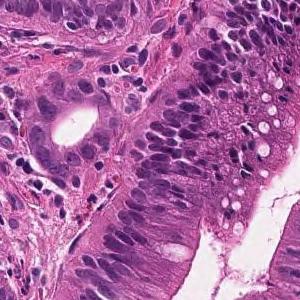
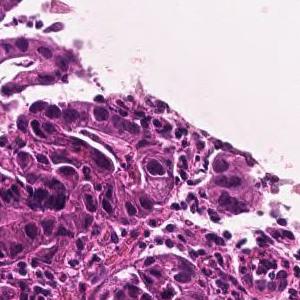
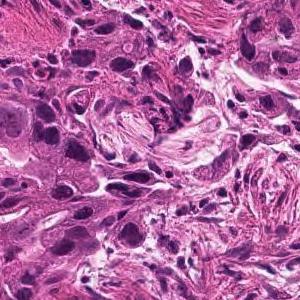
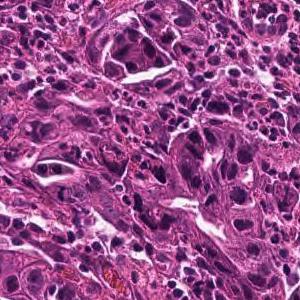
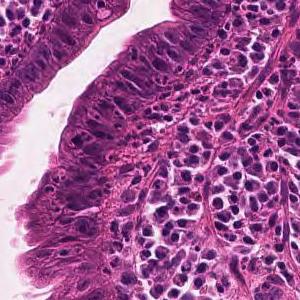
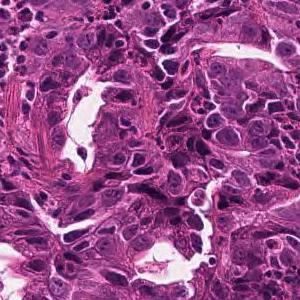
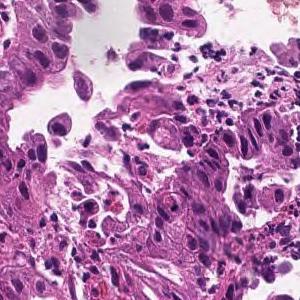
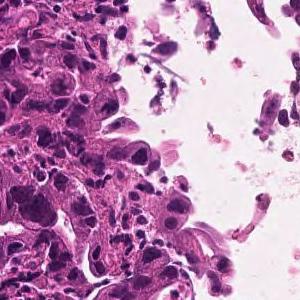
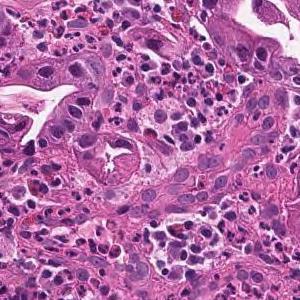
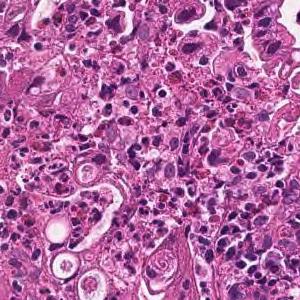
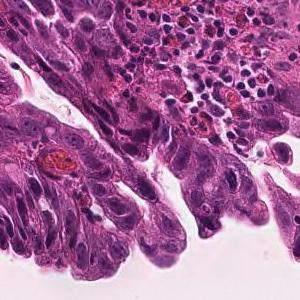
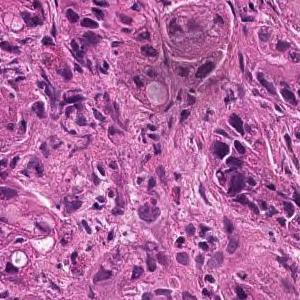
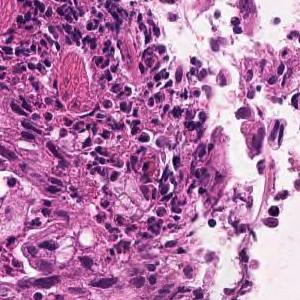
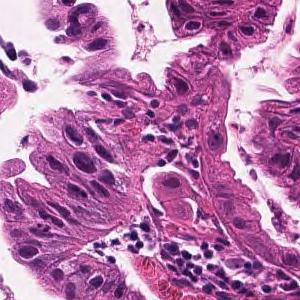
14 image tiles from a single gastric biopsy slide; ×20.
The pathologist's report on the biopsy slide these tiles were taken from. The report and the diagnosis describe the slide as a whole, so these tiles may not show every feature named and may include non-tumor tissue.
Medium to small, irregular glandular ducts are formed in the superficial epithelium, and in some cases, the glandular ducts are fused to show solid alveolar lesions and infiltrating tumor tissue is observed. Moderately to poorly differentiated adenocarcinoma.
